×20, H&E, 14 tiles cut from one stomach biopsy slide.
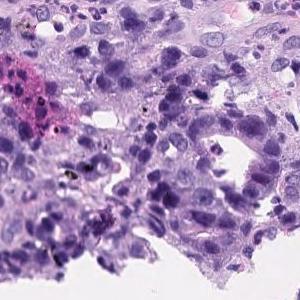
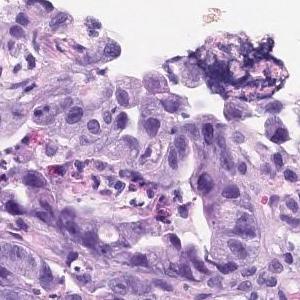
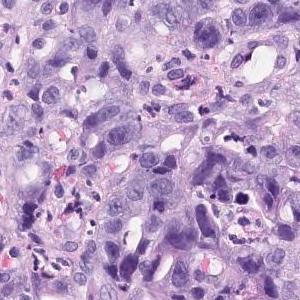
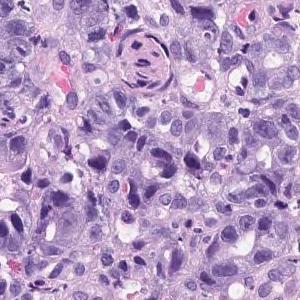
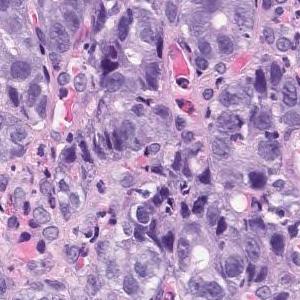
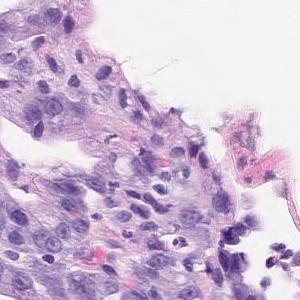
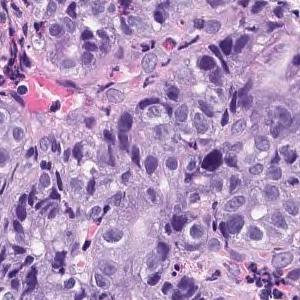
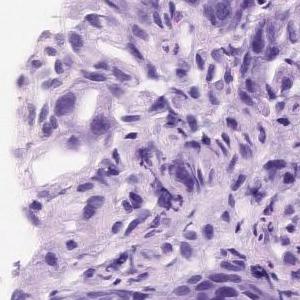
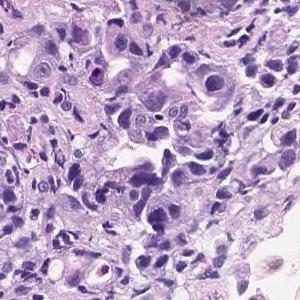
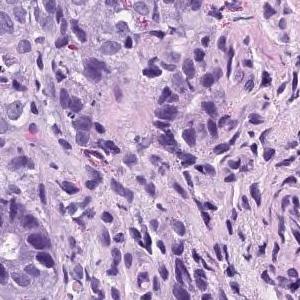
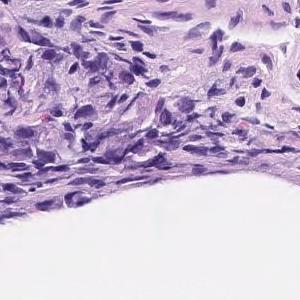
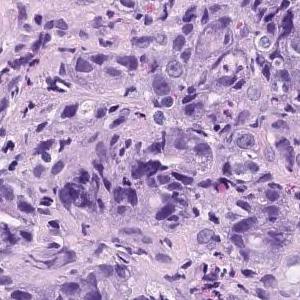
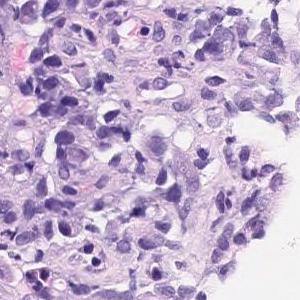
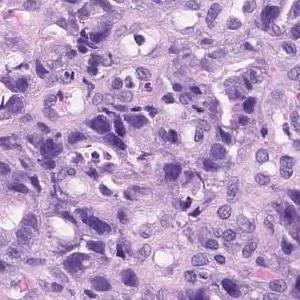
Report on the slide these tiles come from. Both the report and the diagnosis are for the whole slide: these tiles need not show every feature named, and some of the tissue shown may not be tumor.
In the superficial epithelium, tumor tissue that invades by forming medium-sized to small, irregular ducts is observed. Moderately differentiated adenocarcinoma.
Subtype: Moderately differentiated tubular adenocarcinoma.
